×20 · 12 image tiles from a single gastric biopsy slide · each 300 × 300 pixels.
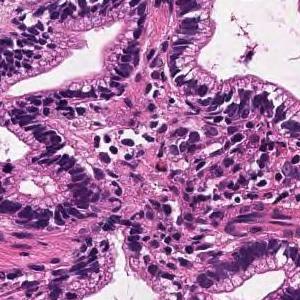
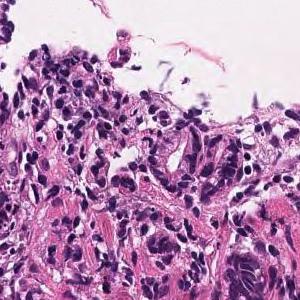
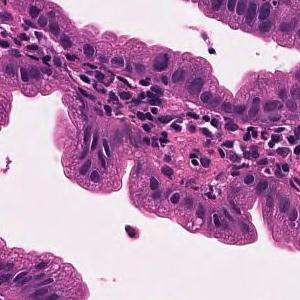
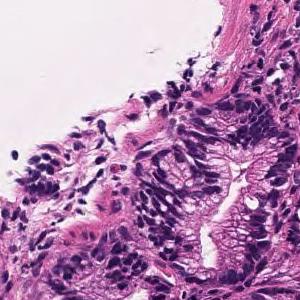
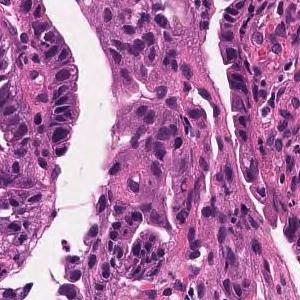
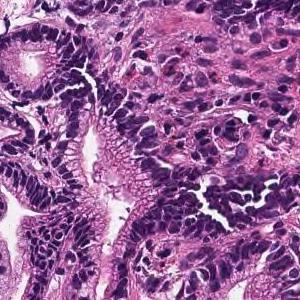
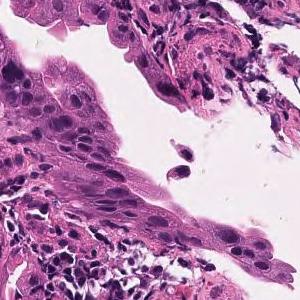
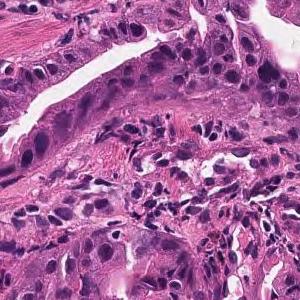
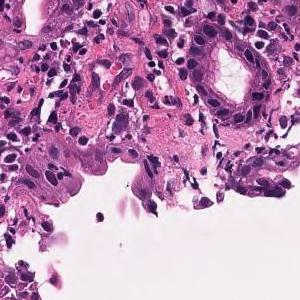
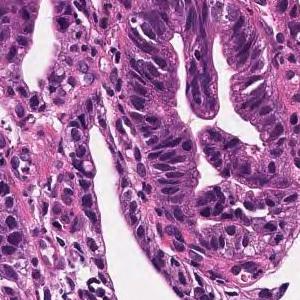
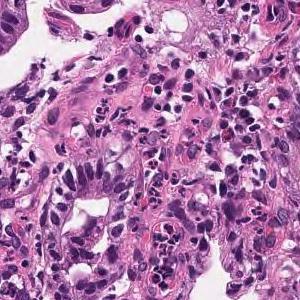
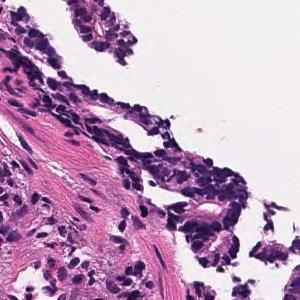
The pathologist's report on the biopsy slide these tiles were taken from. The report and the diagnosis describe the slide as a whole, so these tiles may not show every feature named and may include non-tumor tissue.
Tumor tissue in which medium to small irregular ducts infiltrate and proliferate in the submucosa can be seen in the epithelium. Well differentiated tubular adenocarcinoma
